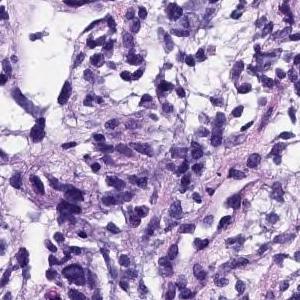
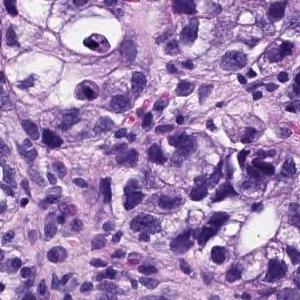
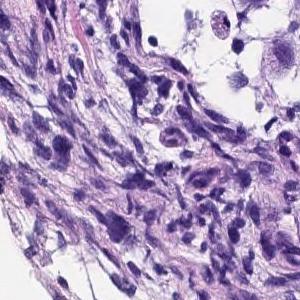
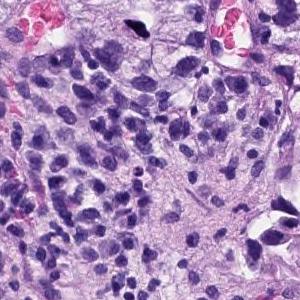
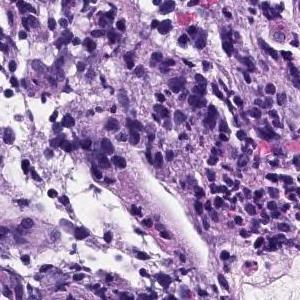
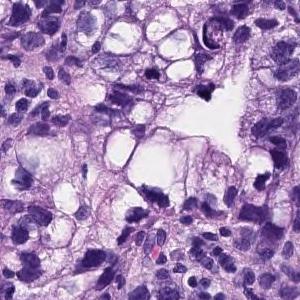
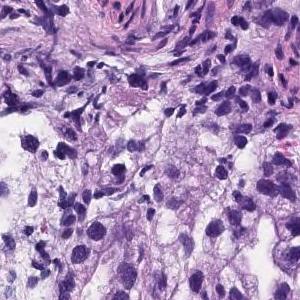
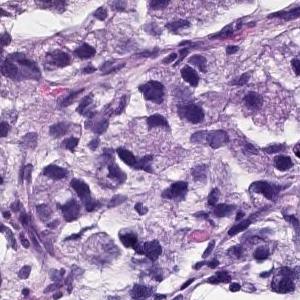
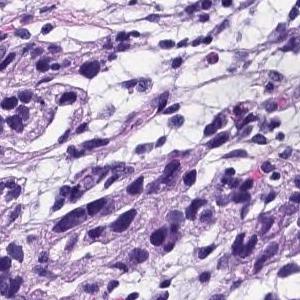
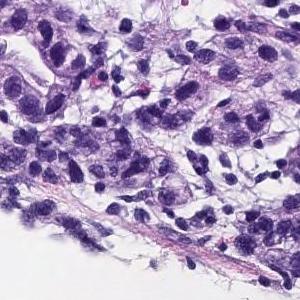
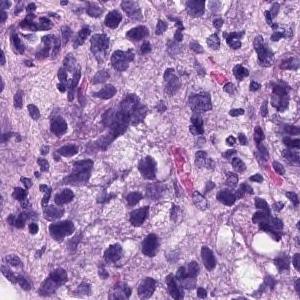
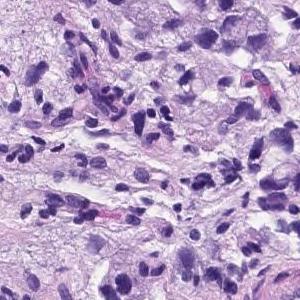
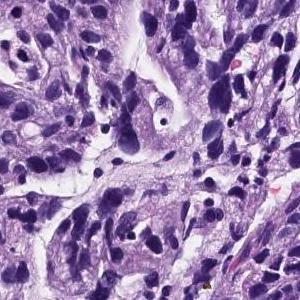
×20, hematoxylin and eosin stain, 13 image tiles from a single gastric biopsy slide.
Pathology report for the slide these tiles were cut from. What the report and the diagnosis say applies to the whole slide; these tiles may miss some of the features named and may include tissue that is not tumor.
Medium to small, irregular glandular ducts are formed in the superficial epithelium, and in some cases, the glandular ducts are fused to show solid alveolar lesions and infiltrating tumor tissue is observed. Poorly differentiated adenocarcinoma, Moderately differentiated adenocarcinoma.
Labeled in the dataset as moderately differentiated tubular adenocarcinoma.
